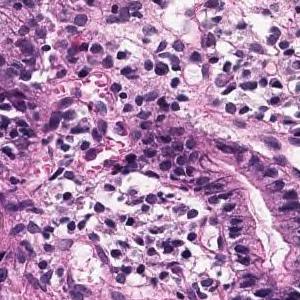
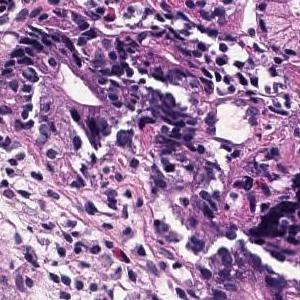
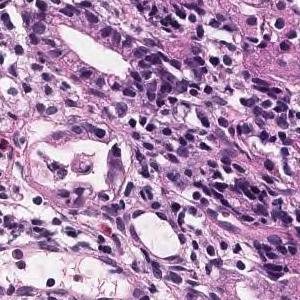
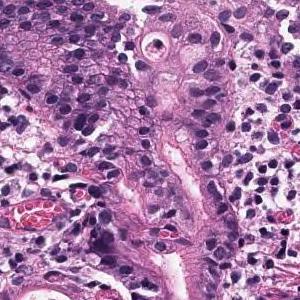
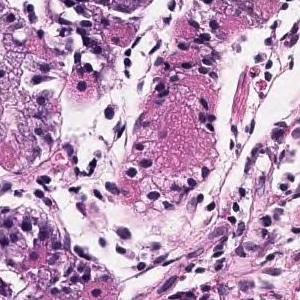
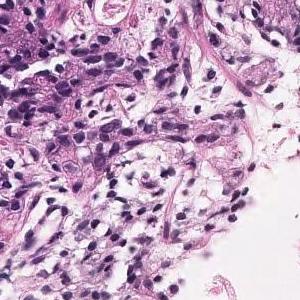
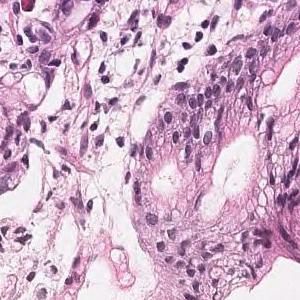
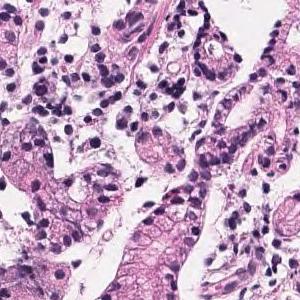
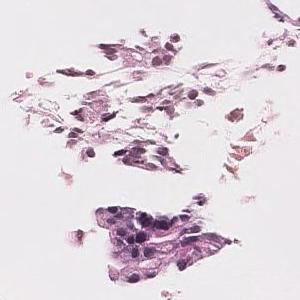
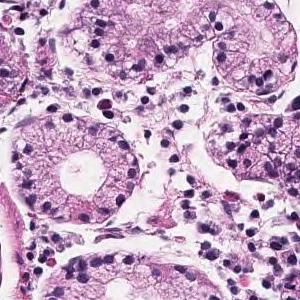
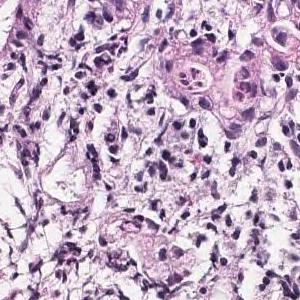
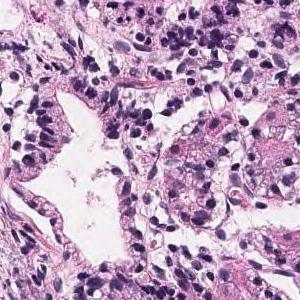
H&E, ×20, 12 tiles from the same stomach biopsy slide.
Pathology report for the slide these tiles were cut from. The findings and the diagnosis refer to the entire slide; these tiles show only part of it, possibly with non-tumor tissue, and may not show every feature named.
Tumor tissue that grows and grows is observed, showing a medium-sized round or irregular duct. moderately differentiated tubular adenocarcinoma
